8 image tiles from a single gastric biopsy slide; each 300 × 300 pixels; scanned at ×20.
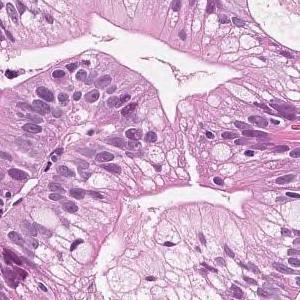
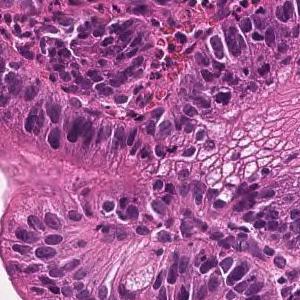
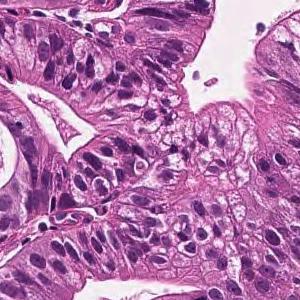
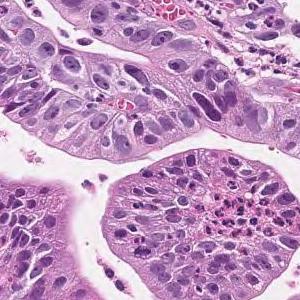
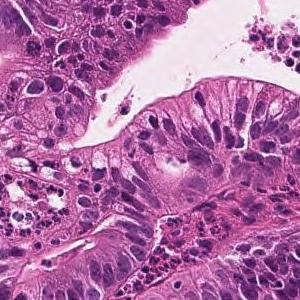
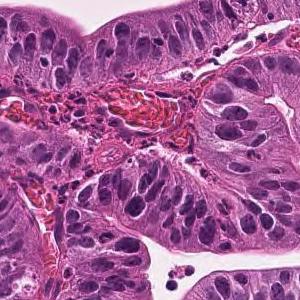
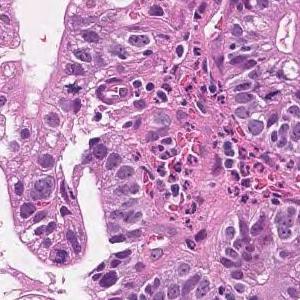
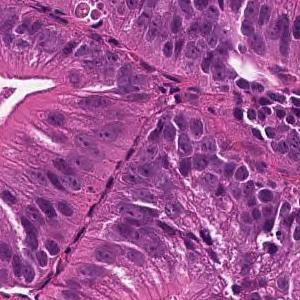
Report on the slide these tiles come from. The report describes the whole slide, diagnosis included: not every finding it names need appear in these tiles, which may also show non-tumor tissue.
Tumor cells are large, highly columnar, large club-shaped nuclei, and are associated with chromatin aggregation. Papillary adenocarcinoma.
